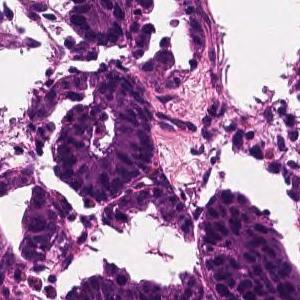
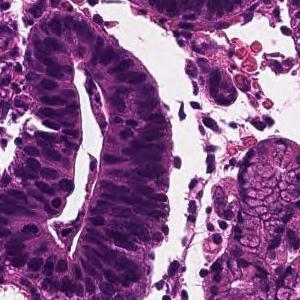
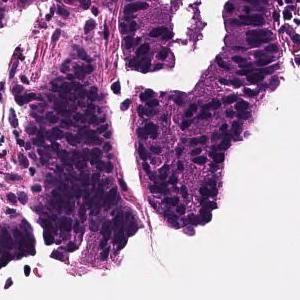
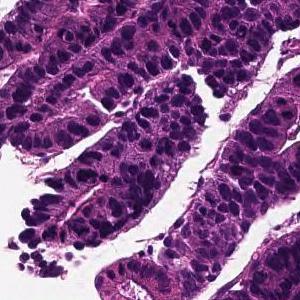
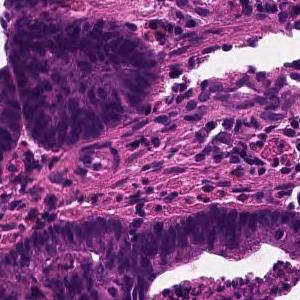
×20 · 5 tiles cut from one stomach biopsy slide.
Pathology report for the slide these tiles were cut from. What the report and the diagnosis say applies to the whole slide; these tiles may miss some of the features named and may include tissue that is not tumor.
From the superficial epithelium to the muscularis mucosae, tumor tissue consisting of medium-sized and irregular glandular ducts infiltrating is observed. Well differentiated tubular adenocarcinoma
